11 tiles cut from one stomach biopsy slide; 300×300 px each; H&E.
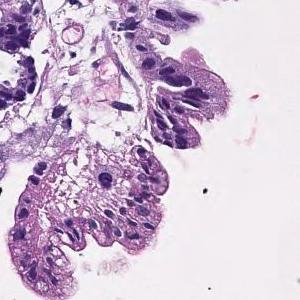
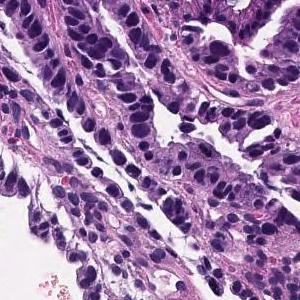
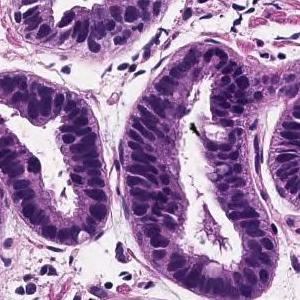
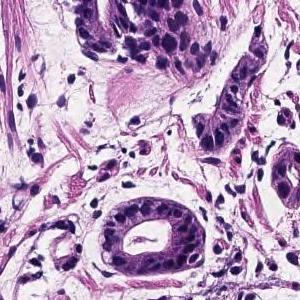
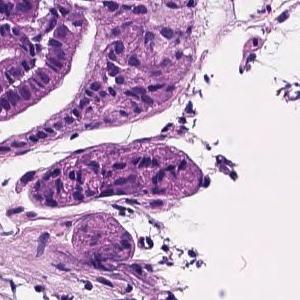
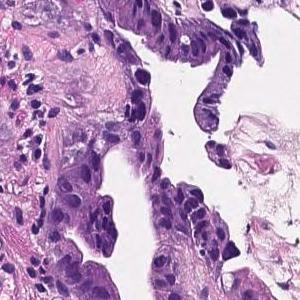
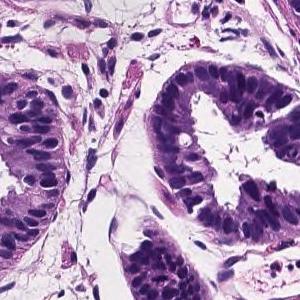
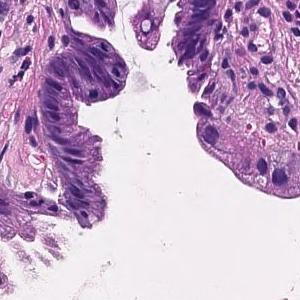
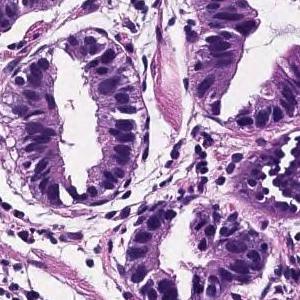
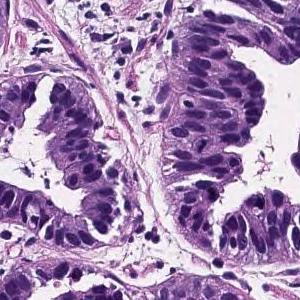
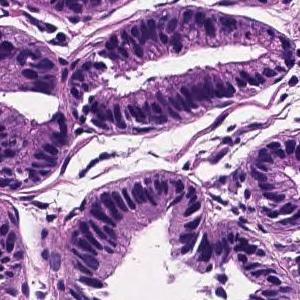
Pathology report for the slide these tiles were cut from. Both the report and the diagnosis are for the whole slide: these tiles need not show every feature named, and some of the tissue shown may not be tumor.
Tumor cells are large, highly columnar, large club-shaped nuclei, and are associated with chromatin aggregation. Papillary adenocarcinoma.
